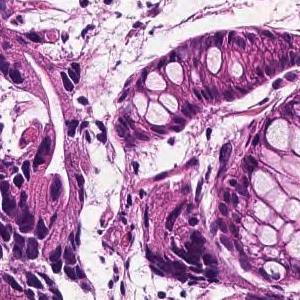
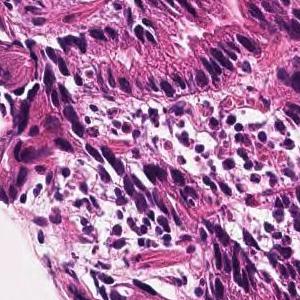
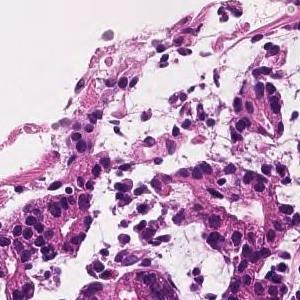
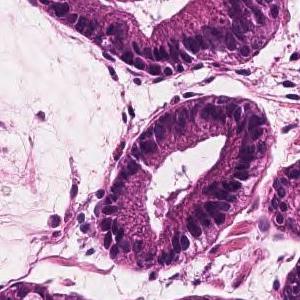
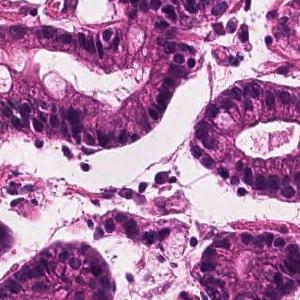
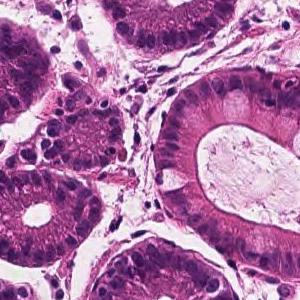
6 tiles cut from one stomach biopsy slide · 300×300 px each · H&E stain · scanned at ×20.
Pathology report for the slide these tiles were cut from. The report describes the whole slide, diagnosis included: not every finding it names need appear in these tiles, which may also show non-tumor tissue.
In the superficial epithelium, tumor tissue that invades by forming medium-sized to small, irregular ducts is observed. moderately differentiated tubular adenocarcinoma.
